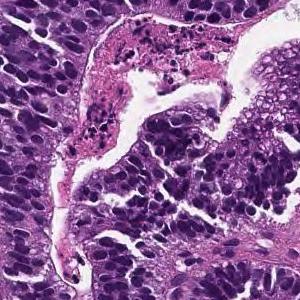
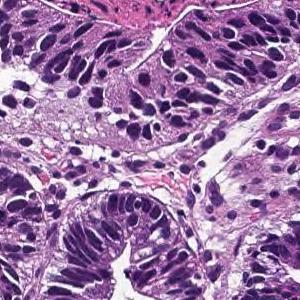
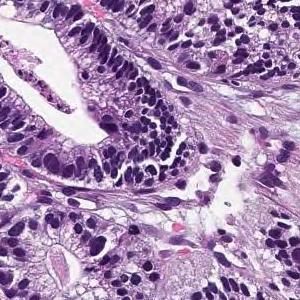
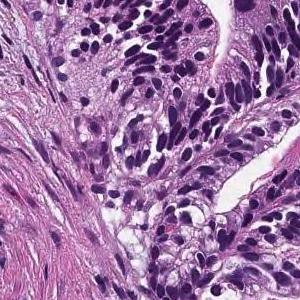
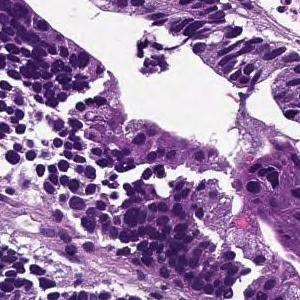
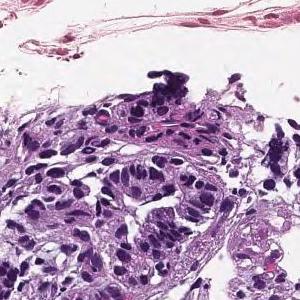
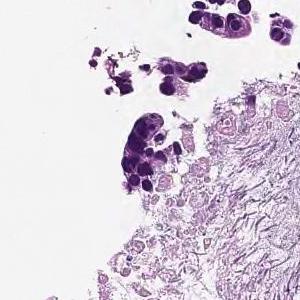
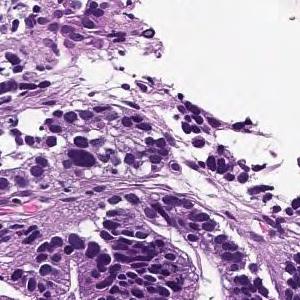
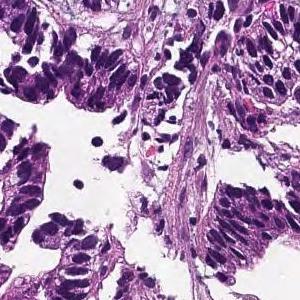
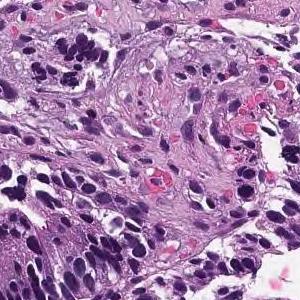
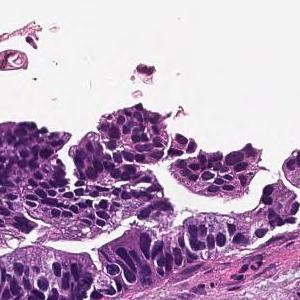
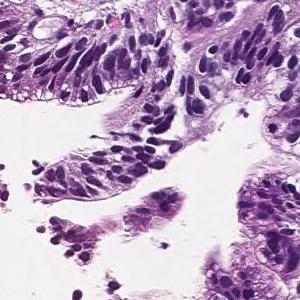
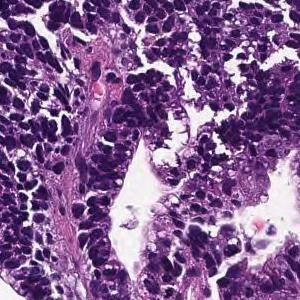
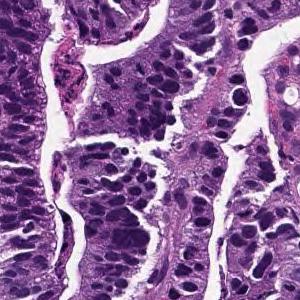
14 tiles from the same stomach biopsy slide, 20× magnification, hematoxylin and eosin stain.
The pathologist's report on the biopsy slide these tiles were taken from. What the report and the diagnosis say applies to the whole slide; these tiles may miss some of the features named and may include tissue that is not tumor.
Tumor cells are large, highly columnar, large club-shaped nuclei, and are associated with chromatin aggregation. Papillary adenocarcinoma.
